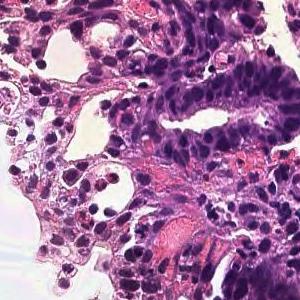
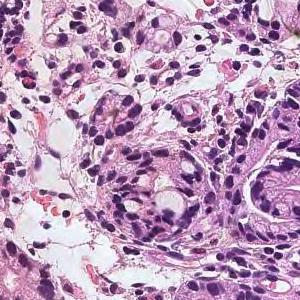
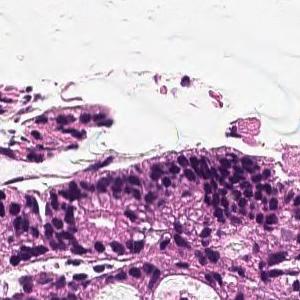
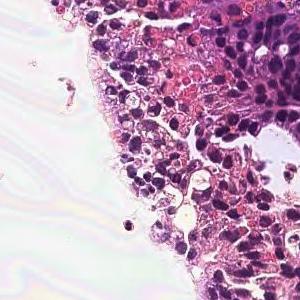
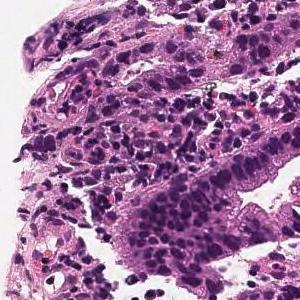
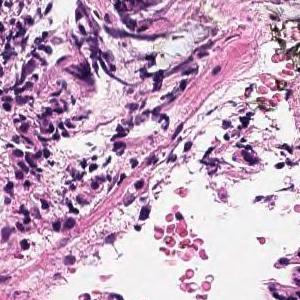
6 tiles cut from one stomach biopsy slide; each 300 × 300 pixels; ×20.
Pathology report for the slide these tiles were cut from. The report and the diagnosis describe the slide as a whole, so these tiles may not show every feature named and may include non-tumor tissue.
In the superficial epithelium, tumor tissue that invades by forming medium-sized to small, irregular ducts is observed. moderately differentiated tubular adenocarcinoma.
